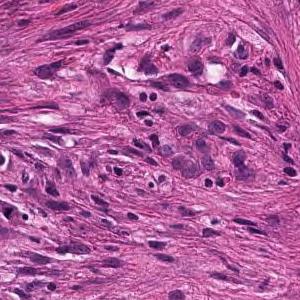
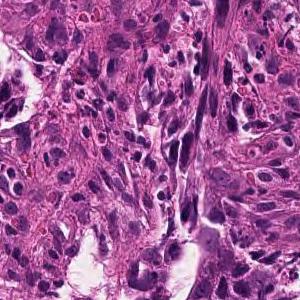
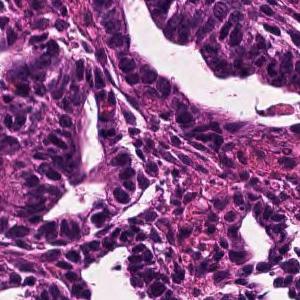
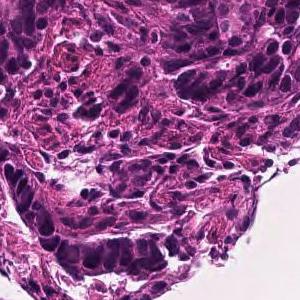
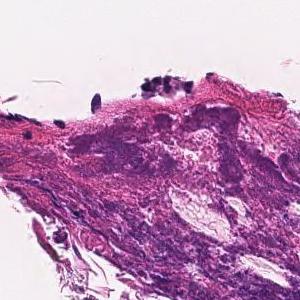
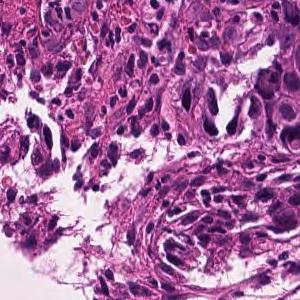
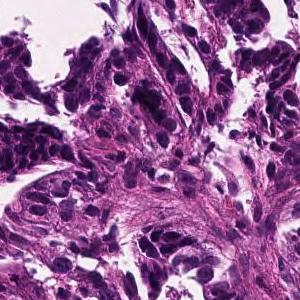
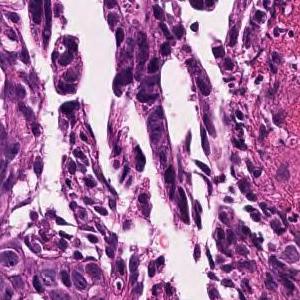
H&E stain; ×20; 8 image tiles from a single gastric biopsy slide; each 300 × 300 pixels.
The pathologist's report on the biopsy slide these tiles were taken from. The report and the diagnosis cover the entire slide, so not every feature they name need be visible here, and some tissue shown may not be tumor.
In the superficial epithelium, tumor tissue that invades by forming medium-sized to small, irregular ducts is observed. moderately differentiated tubular adenocarcinoma.
